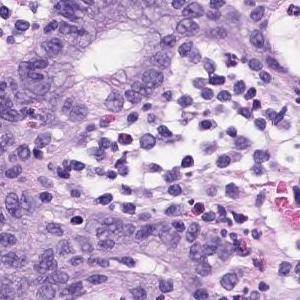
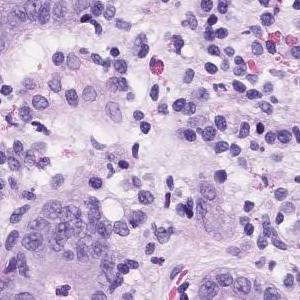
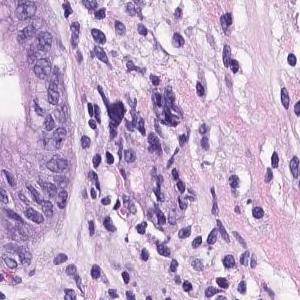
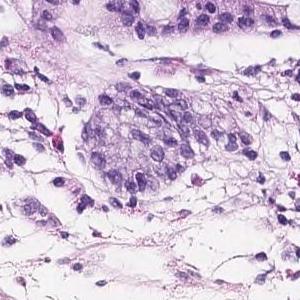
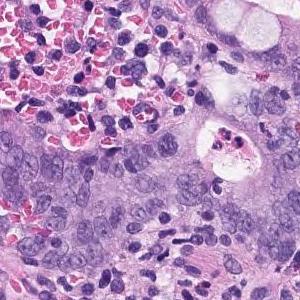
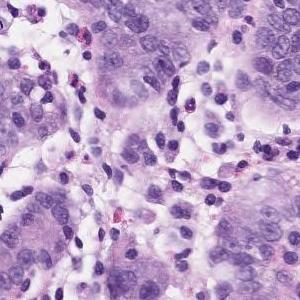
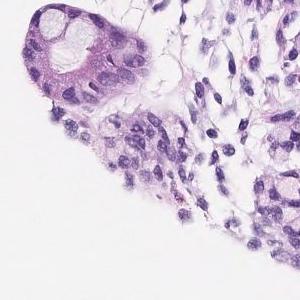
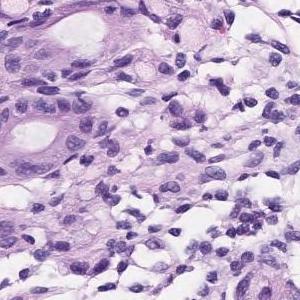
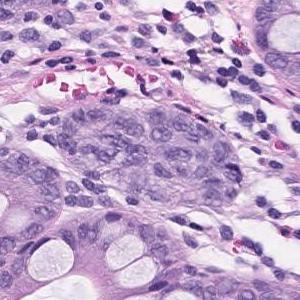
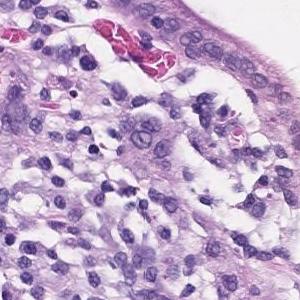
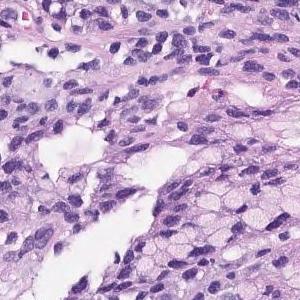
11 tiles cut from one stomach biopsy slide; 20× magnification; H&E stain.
Report on the slide these tiles come from. What the report and the diagnosis say applies to the whole slide; these tiles may miss some of the features named and may include tissue that is not tumor.
Atypical l cells with atypical nuclei forming diffuse or small irregular atypical ducts and growing. Moderately to poorly differentiated adenocarcinoma (poorly differentiated adenocarcinoma, solid type moderately differentiated tubular adenocarcinoma)
Tumor subtype: moderately to poorly differentiated adenocarcinoma.
"Solid type" is a category of the Japanese Classification of Gastric Carcinoma; in the WHO 2019 classification it is tubular adenocarcinoma, poorly differentiated.
